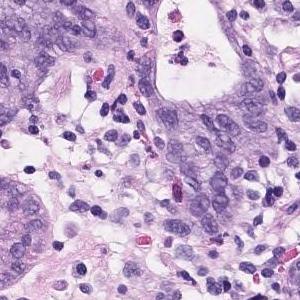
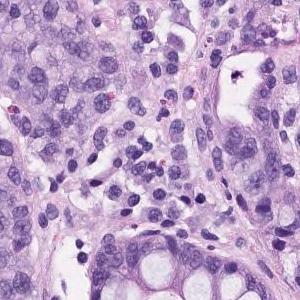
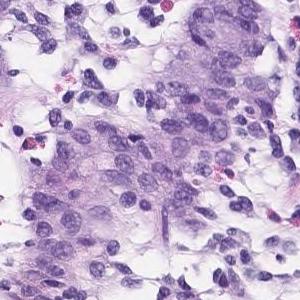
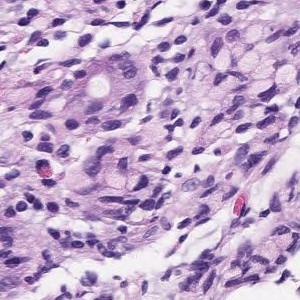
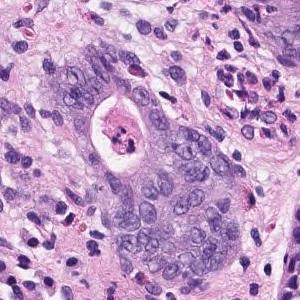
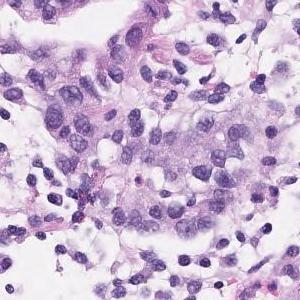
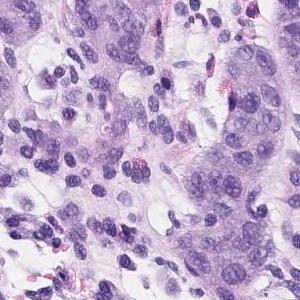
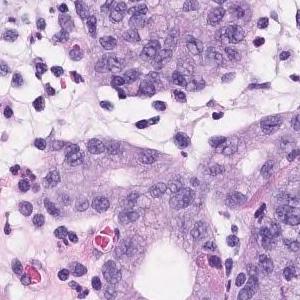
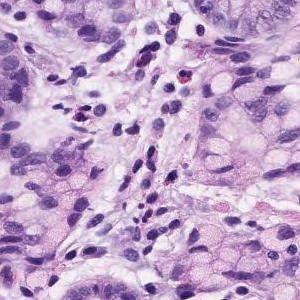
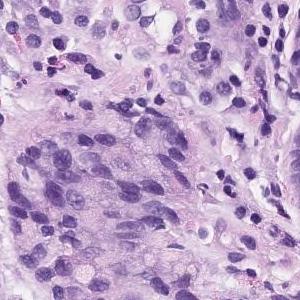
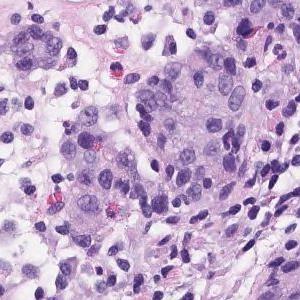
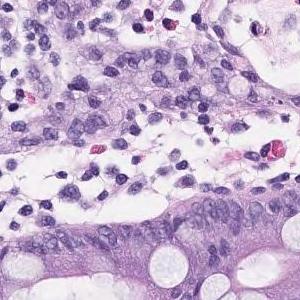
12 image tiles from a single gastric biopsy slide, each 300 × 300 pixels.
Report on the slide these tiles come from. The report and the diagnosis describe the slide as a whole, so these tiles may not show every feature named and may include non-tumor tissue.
Atypical l cells with atypical nuclei forming diffuse or small irregular atypical ducts and growing. Moderately to poorly differentiated adenocarcinoma (poorly differentiated adenocarcinoma, solid type moderately differentiated tubular adenocarcinoma)
Histologic type: Moderately to poorly differentiated adenocarcinoma.
The term "solid type" comes from the Japanese Classification of Gastric Carcinoma; the WHO 2019 equivalent is tubular adenocarcinoma, poorly differentiated.
